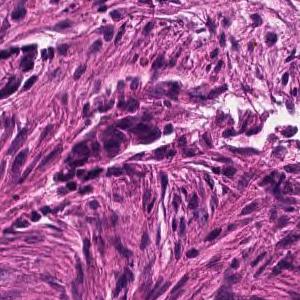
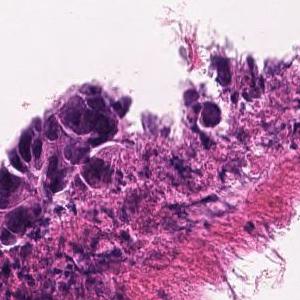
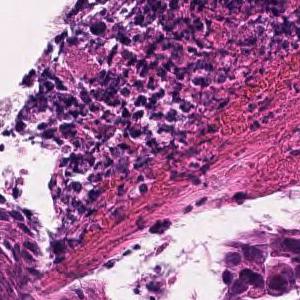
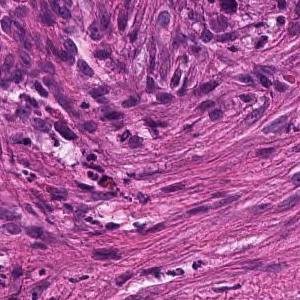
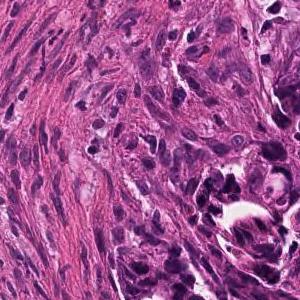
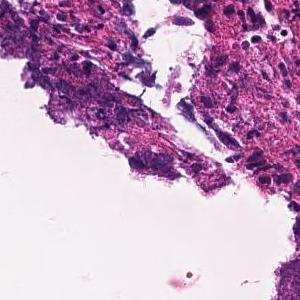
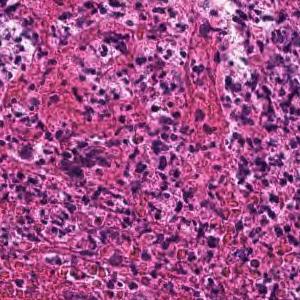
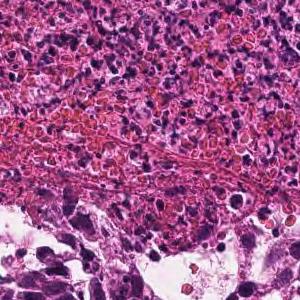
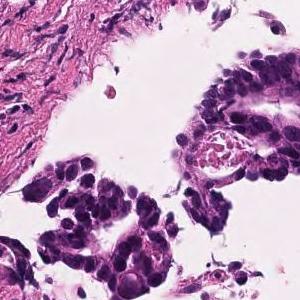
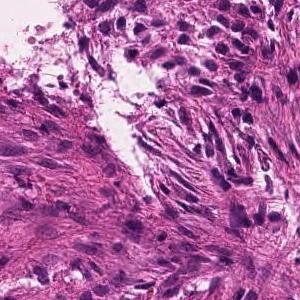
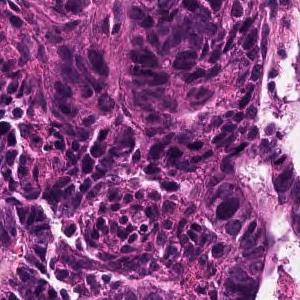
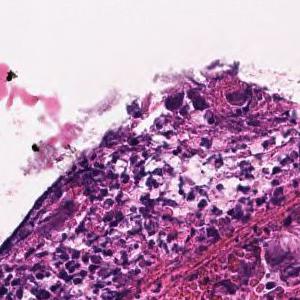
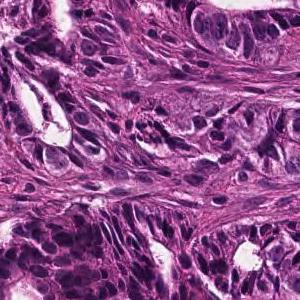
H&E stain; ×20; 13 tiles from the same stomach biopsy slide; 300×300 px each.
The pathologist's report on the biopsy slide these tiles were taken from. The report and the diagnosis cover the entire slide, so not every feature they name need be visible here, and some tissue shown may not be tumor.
In the superficial epithelium, tumor tissue that invades by forming medium-sized to small, irregular ducts is observed. moderately differentiated tubular adenocarcinoma.
